10 patches cut from one gastric biopsy slide; H&E.
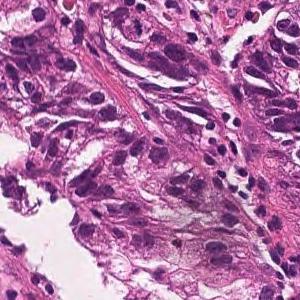
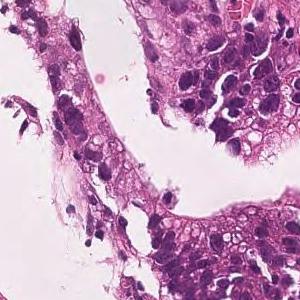
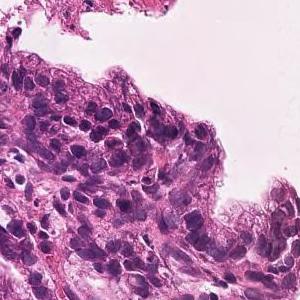
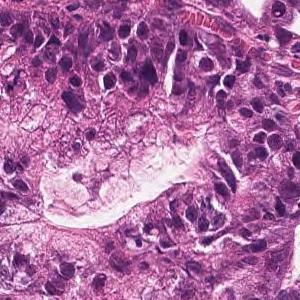
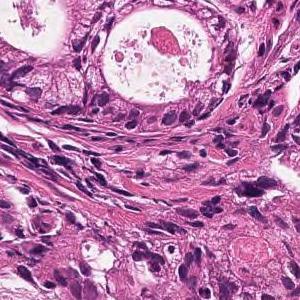
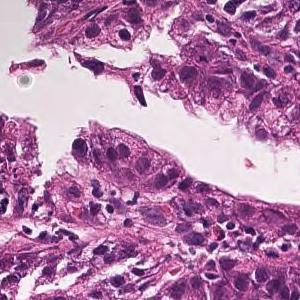
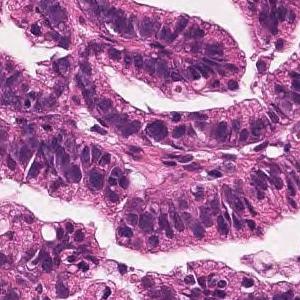
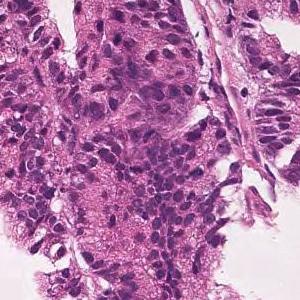
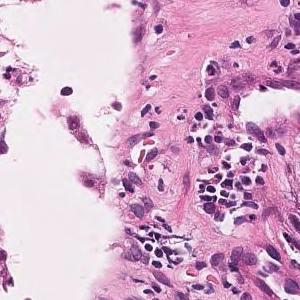
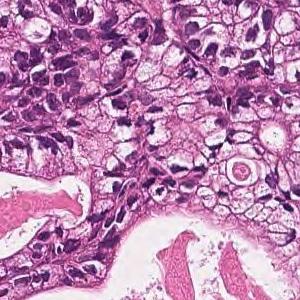
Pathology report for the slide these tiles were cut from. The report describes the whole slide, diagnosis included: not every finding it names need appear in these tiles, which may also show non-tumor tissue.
On the superficial epithelium, tumor tissue consisting of large, irregular glandular ducts partially fused and infiltrated is observed. Well to moderately differentiated tubular adenocarcinoma (well differentiated tubular adenocarcinoma, moderately differentiated tubular adenocarcinoma)
Histological subtype: Well to moderately differentiated tubular adenocarcinoma.
